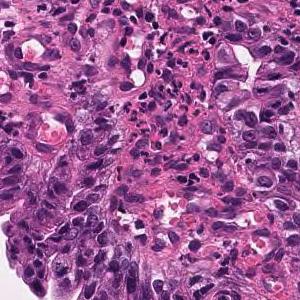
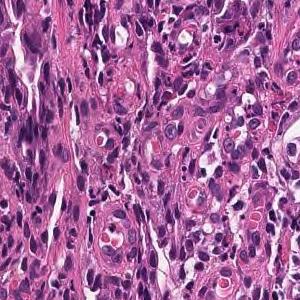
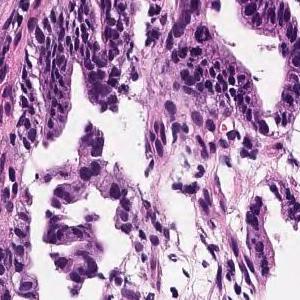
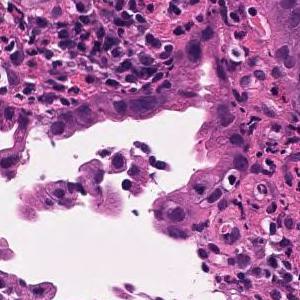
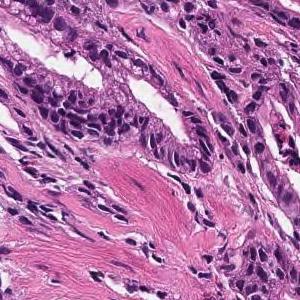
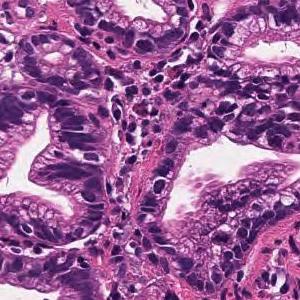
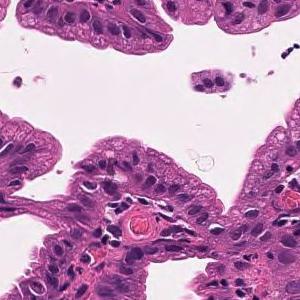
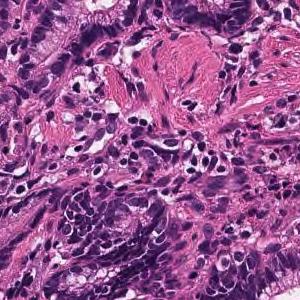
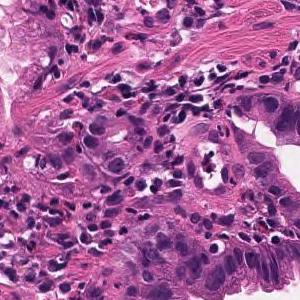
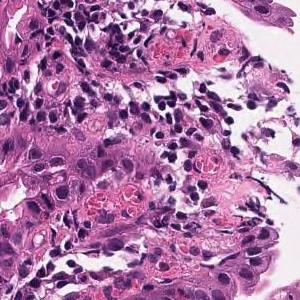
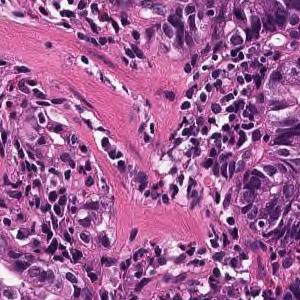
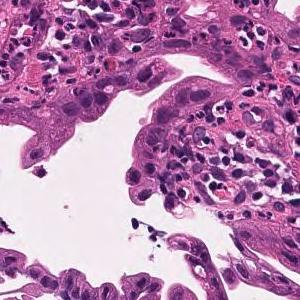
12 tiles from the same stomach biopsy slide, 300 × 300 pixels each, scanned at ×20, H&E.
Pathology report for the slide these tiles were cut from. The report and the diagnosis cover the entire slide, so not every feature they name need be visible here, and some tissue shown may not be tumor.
Tumor tissue in which medium to small irregular ducts infiltrate and proliferate in the submucosa can be seen in the epithelium. Well differentiated tubular adenocarcinoma
